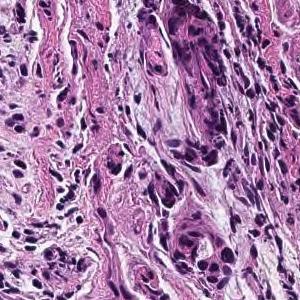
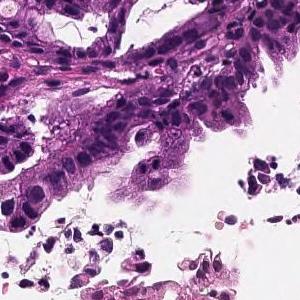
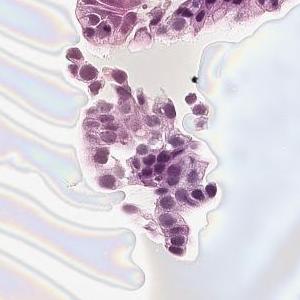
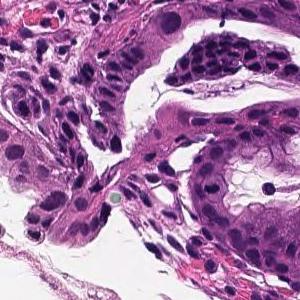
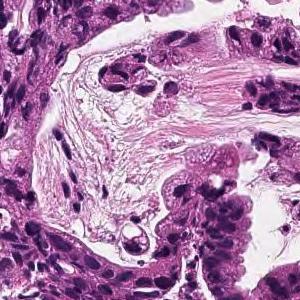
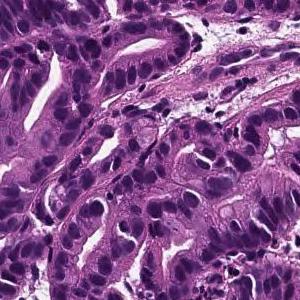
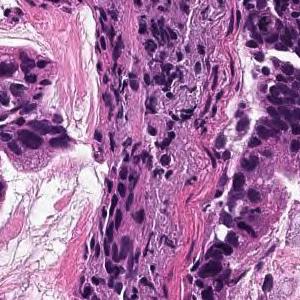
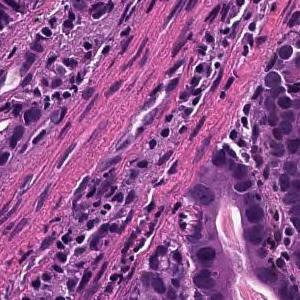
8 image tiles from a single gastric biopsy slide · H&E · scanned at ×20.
Pathology report for the slide these tiles were cut from. The findings and the diagnosis refer to the entire slide; these tiles show only part of it, possibly with non-tumor tissue, and may not show every feature named.
Tumor cells are large, highly columnar, large club-shaped nuclei, and are associated with chromatin aggregation. Papillary adenocarcinoma.
